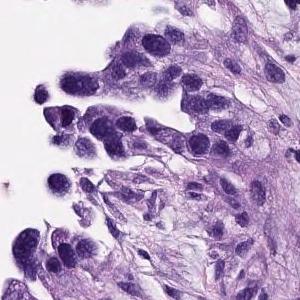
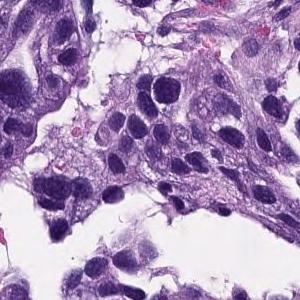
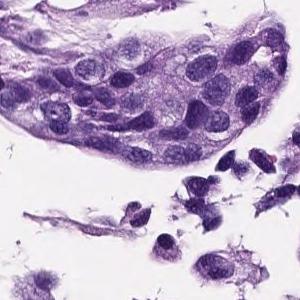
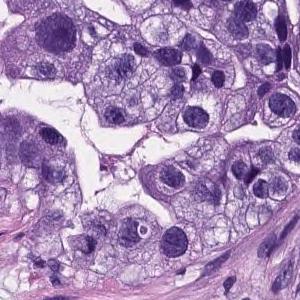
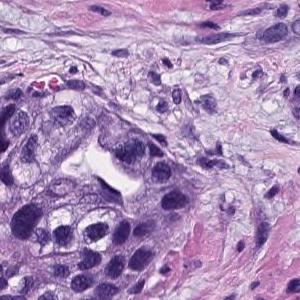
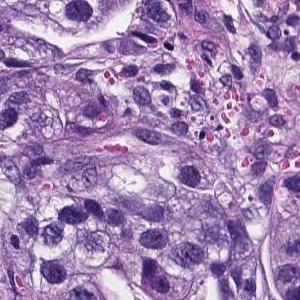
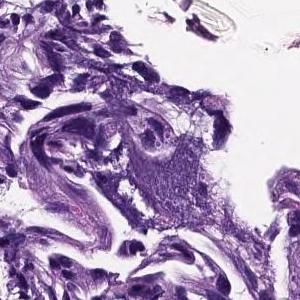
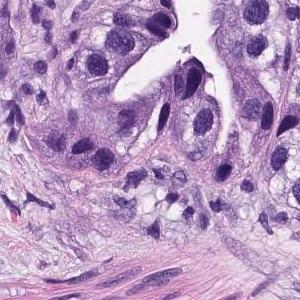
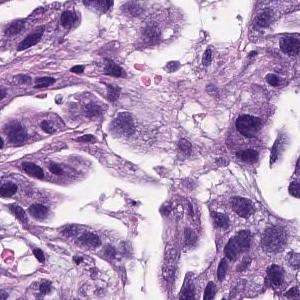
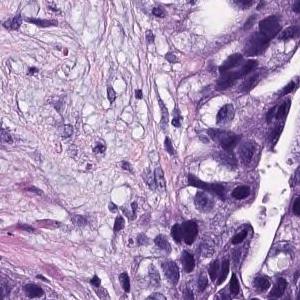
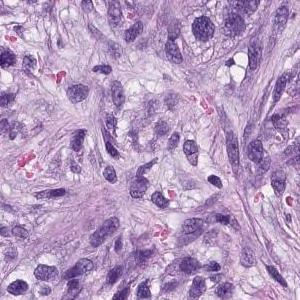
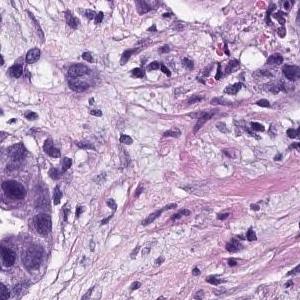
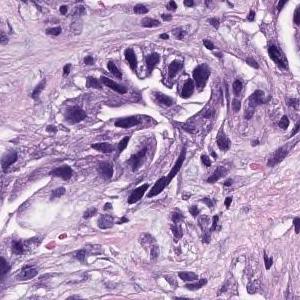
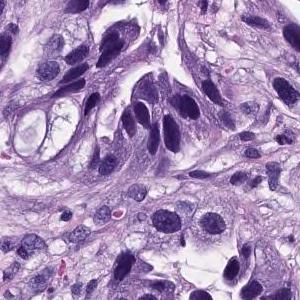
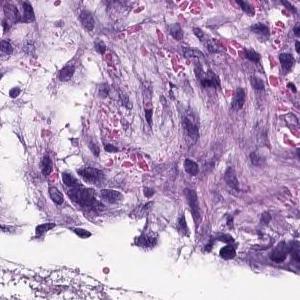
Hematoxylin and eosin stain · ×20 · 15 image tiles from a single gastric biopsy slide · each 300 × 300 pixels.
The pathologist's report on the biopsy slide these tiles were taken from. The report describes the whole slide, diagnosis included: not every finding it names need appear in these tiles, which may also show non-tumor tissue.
gastric mucosal tissue with atypical glandular proliferation arranged in tubules and acini. The tumor cells showed hyperchromatic nuclei, high N/C ratio and loss of polarity. Tubular adenocarcinoma of stomach, moderately differentiated.
Tumor subtype: moderately differentiated tubular adenocarcinoma.
